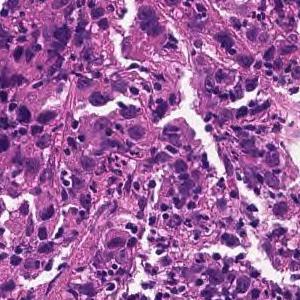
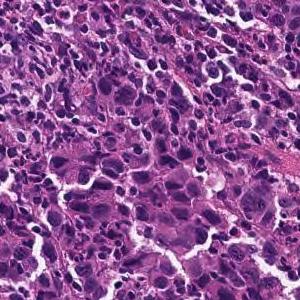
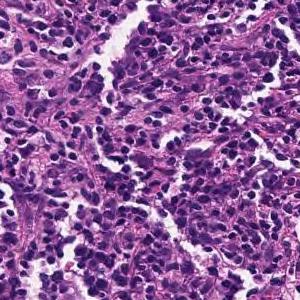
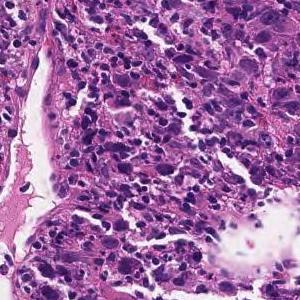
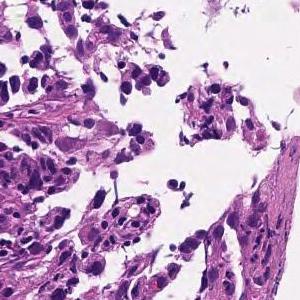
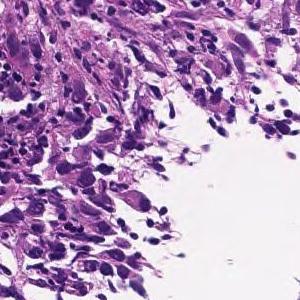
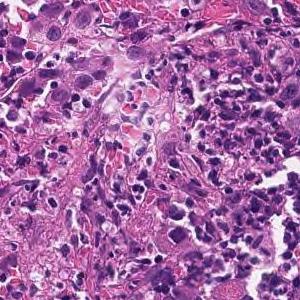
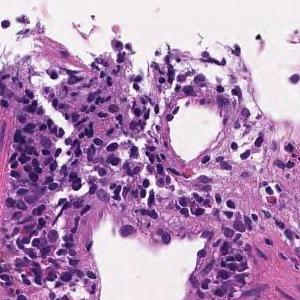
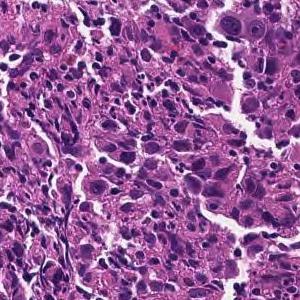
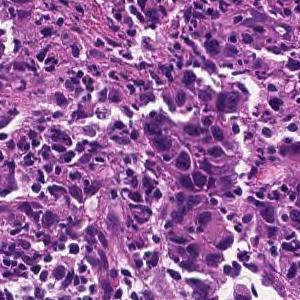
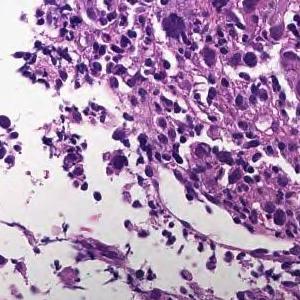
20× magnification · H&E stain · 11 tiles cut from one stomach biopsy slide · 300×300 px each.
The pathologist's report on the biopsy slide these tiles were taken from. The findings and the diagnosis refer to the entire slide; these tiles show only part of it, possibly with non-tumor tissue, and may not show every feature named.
The superficial epithelium shows a large sheet-like shape, and some tumor tissue infiltrates with small irregular ducts. Poorly differentiated adenocarcinoma, solid-type (poorly differentiated adenocarcinoma, solid type)
Histological subtype: Poorly differentiated adenocarcinoma, solid type (Japanese Classification of Gastric Carcinoma). The WHO 2019 equivalent is tubular adenocarcinoma, poorly differentiated.
